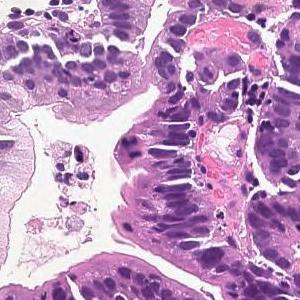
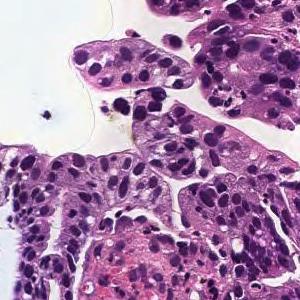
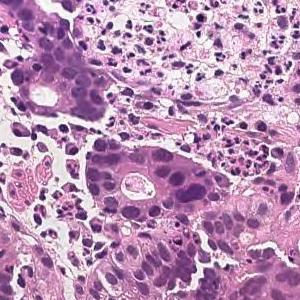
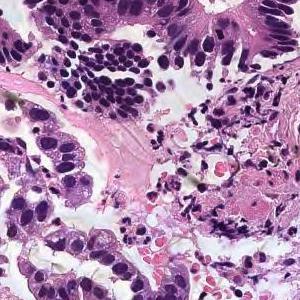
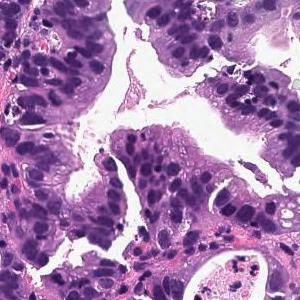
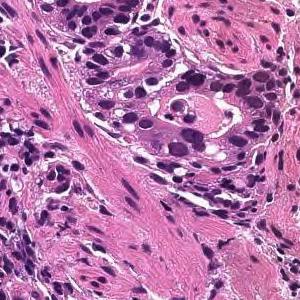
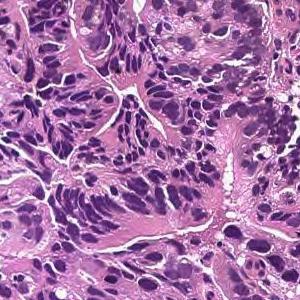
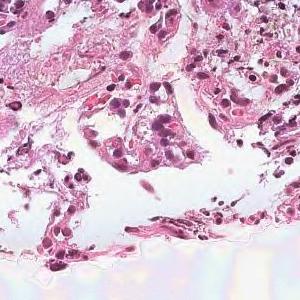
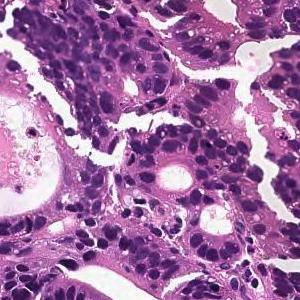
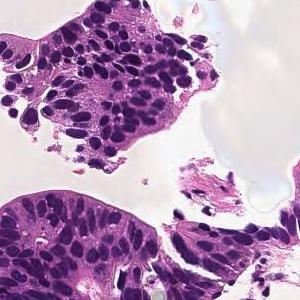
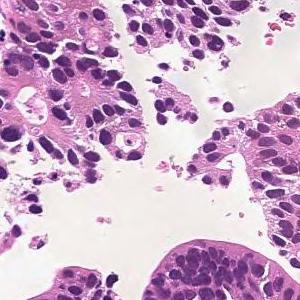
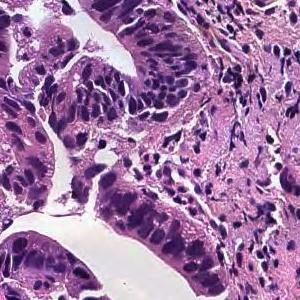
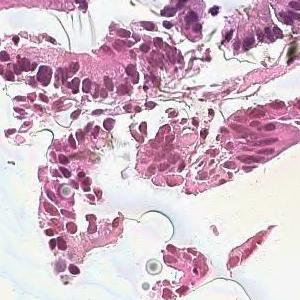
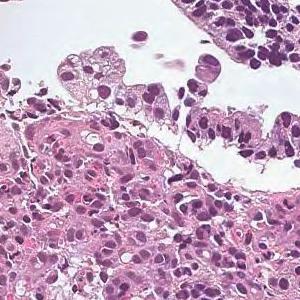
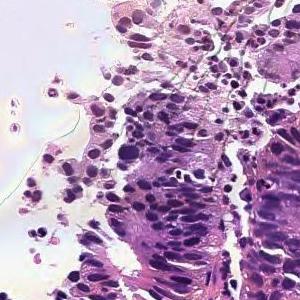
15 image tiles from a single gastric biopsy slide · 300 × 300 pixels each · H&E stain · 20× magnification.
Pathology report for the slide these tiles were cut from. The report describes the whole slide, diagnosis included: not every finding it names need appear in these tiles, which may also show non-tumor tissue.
On the superficial epithelium, tumor tissue consisting of large irregular glandular ducts partially fused and infiltrated is observed. Well to moderately differentiated tubular adenocarcinoma (well differentiated tubular adenocarcinoma, moderately differentiated tubular adenocarcinoma)
Subtype: Well to moderately differentiated tubular adenocarcinoma.
